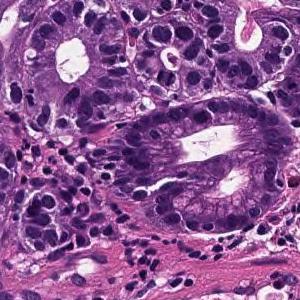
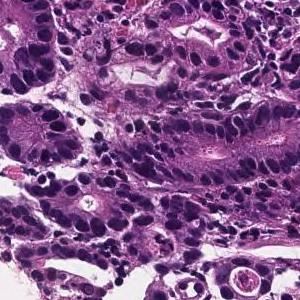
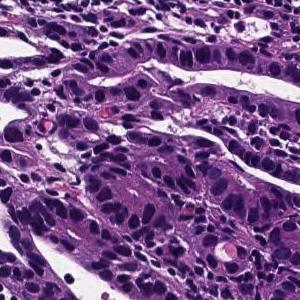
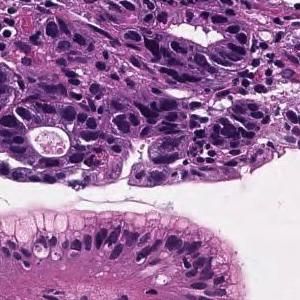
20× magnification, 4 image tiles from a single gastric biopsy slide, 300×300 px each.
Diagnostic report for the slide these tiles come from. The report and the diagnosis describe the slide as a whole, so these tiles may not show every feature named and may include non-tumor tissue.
In the superficial epithelium, tumor tissue that invades by forming medium-sized to small, irregular ducts is observed. Well differentiated tubular adenocarcinoma.
